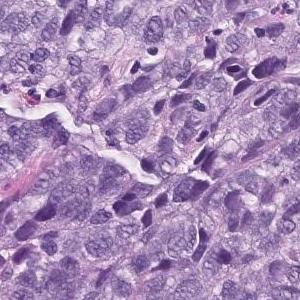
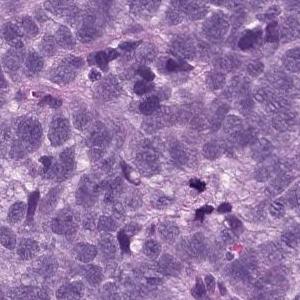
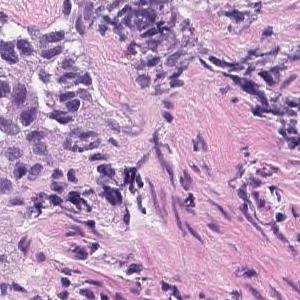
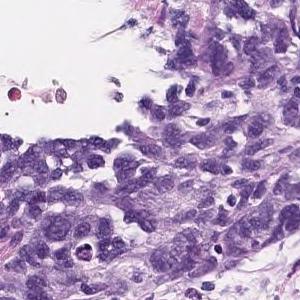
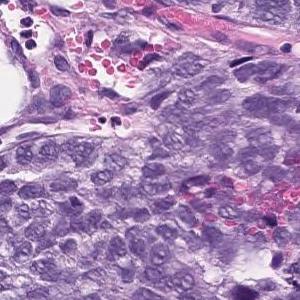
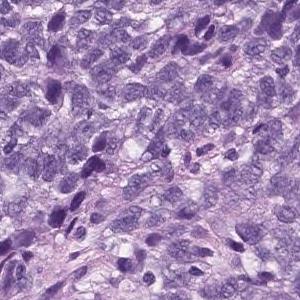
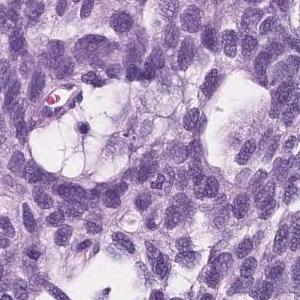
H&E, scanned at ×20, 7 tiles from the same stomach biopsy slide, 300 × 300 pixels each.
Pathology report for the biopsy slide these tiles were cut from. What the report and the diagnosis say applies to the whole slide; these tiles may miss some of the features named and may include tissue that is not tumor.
Epithelial cells with swollen nuclei with atypia invasively proliferating while forming vesicles is observed. Poorly differentiated adenocarcinoma
Tumor subtype: poorly differentiated adenocarcinoma, solid type (Japanese Classification of Gastric Carcinoma). The WHO 2019 equivalent is tubular adenocarcinoma, poorly differentiated.
